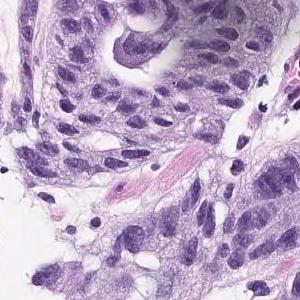
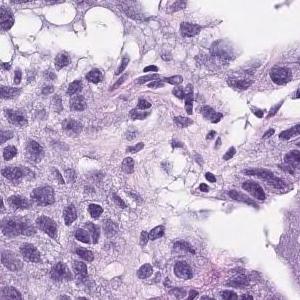
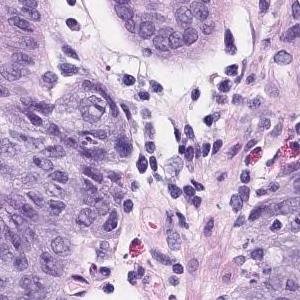
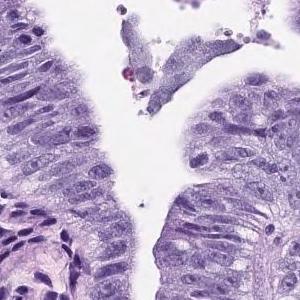
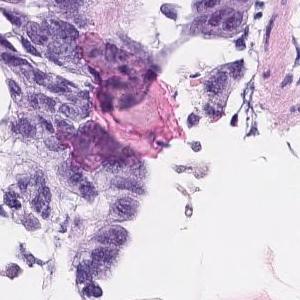
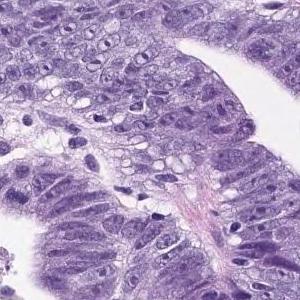
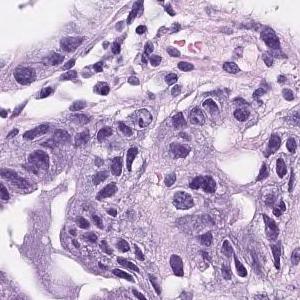
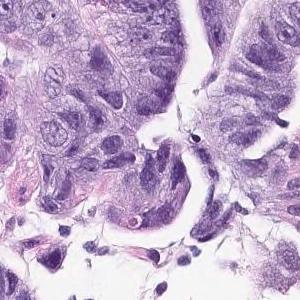
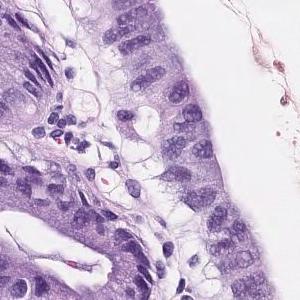
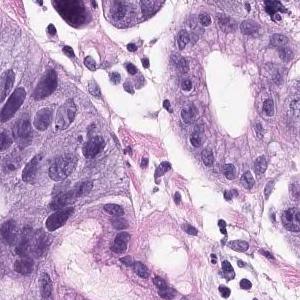
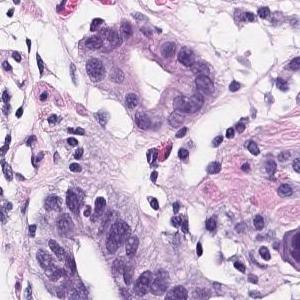
Scanned at ×20, 11 image tiles from a single gastric biopsy slide, each 300 × 300 pixels.
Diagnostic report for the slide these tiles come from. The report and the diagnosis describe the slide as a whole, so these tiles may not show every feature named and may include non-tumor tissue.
In the superficial epithelium, tumor tissue that invades by forming medium-sized to small, irregular ducts is observed. Moderately differentiated adenocarcinoma.
Tumor subtype: moderately differentiated tubular adenocarcinoma.
